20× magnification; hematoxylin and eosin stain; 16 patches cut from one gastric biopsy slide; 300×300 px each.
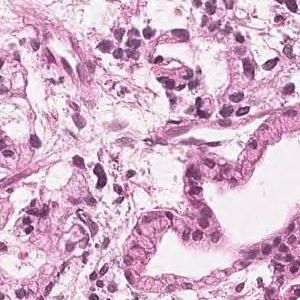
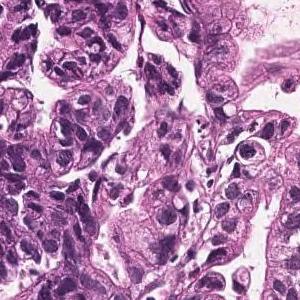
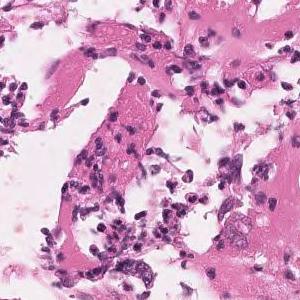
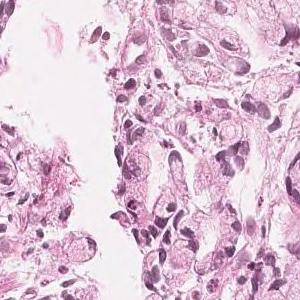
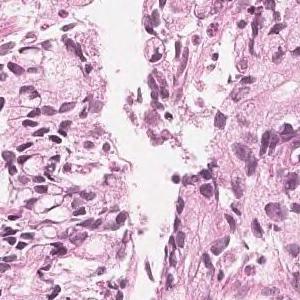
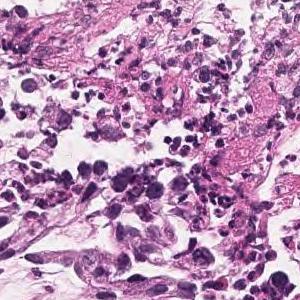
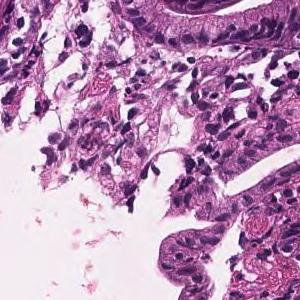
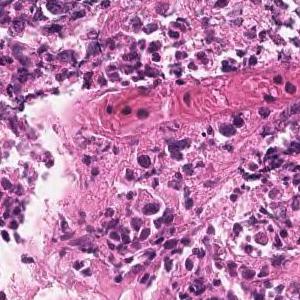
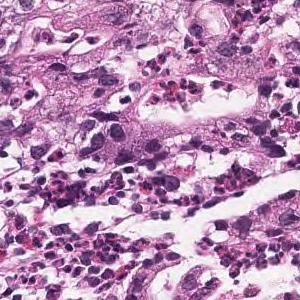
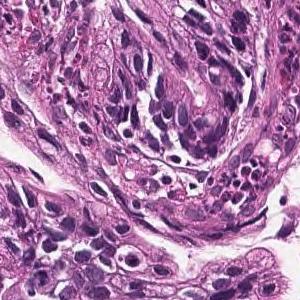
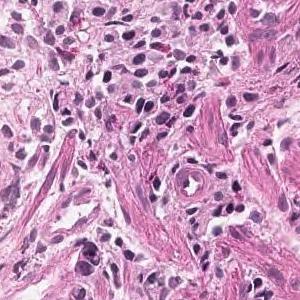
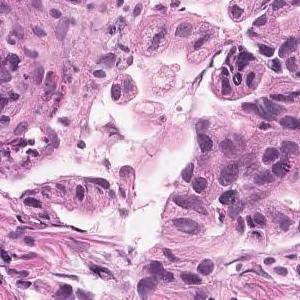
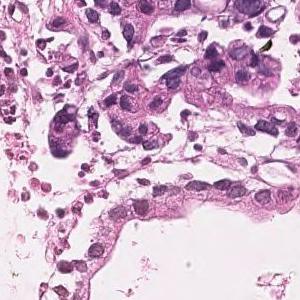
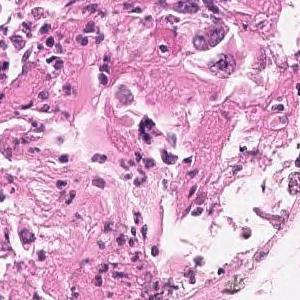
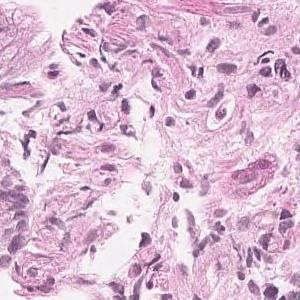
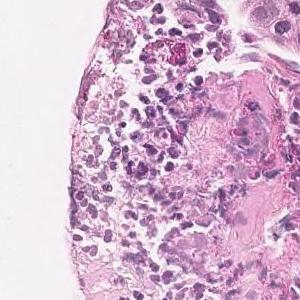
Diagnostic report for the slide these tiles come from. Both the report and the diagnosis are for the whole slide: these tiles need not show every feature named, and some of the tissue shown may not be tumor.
In the superficial epithelium, medium to small irregular gland ducts are formed, and in some cases, the ducts are fused to show solid alveolar lesions and infiltrating tumor tissue is observed. Moderately to poorly differentiated adenocarcinoma
